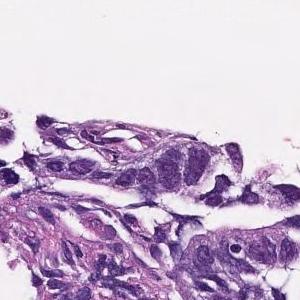
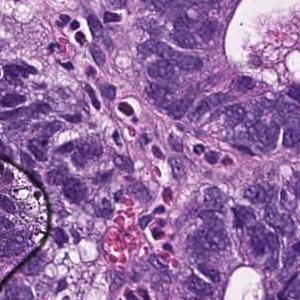
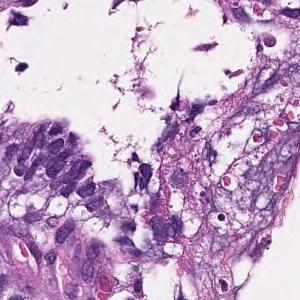
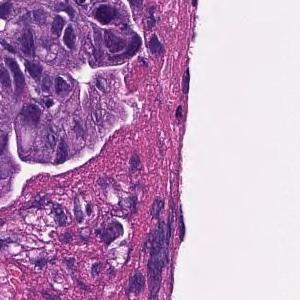
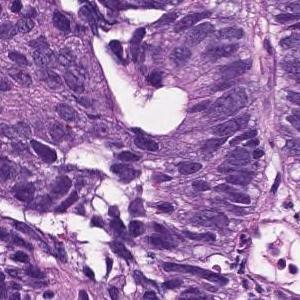
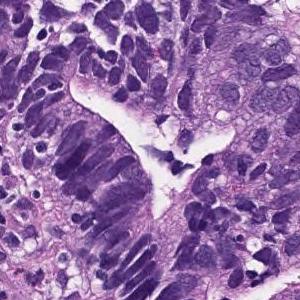
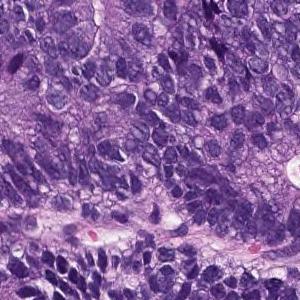
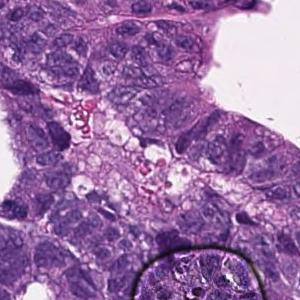
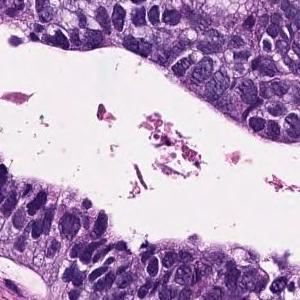
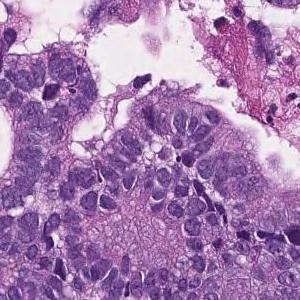
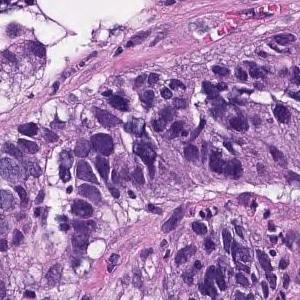
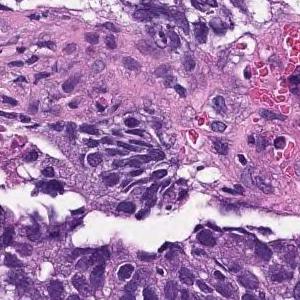
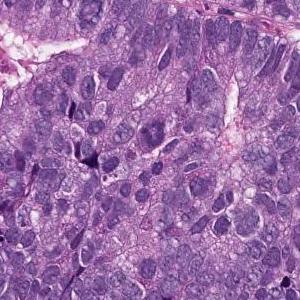
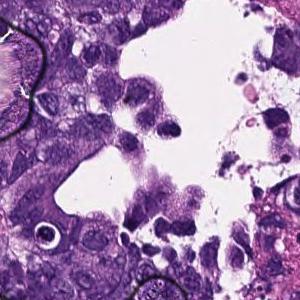
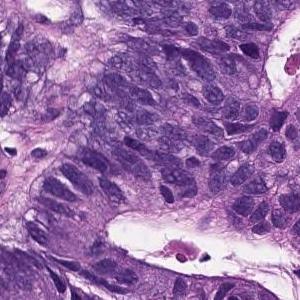
15 image tiles from a single gastric biopsy slide; 300×300 px each; 20× magnification.
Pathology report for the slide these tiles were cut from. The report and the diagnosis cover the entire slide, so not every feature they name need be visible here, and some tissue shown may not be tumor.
In the superficial epithelium, tumor tissue that invades by forming medium-sized to small, irregular ducts is observed. moderately differentiated tubular adenocarcinoma.
